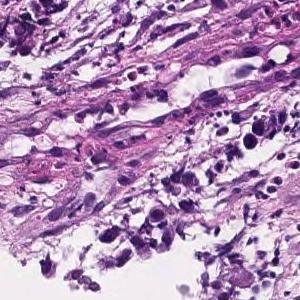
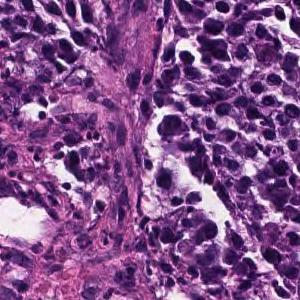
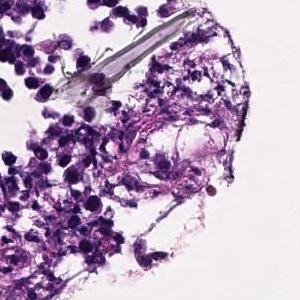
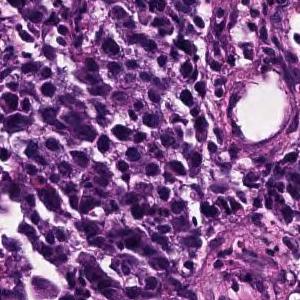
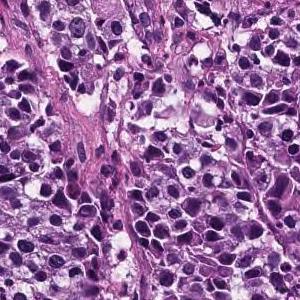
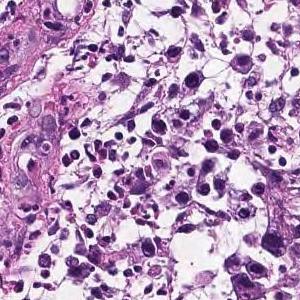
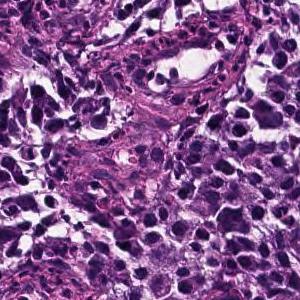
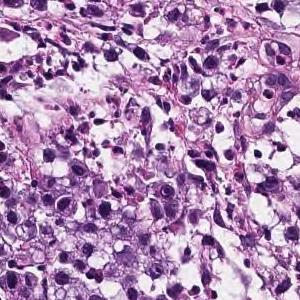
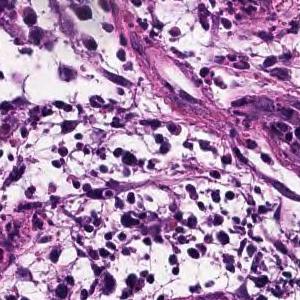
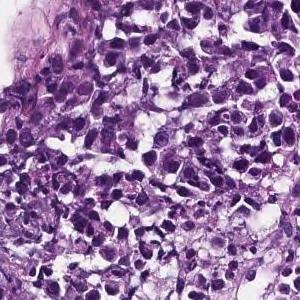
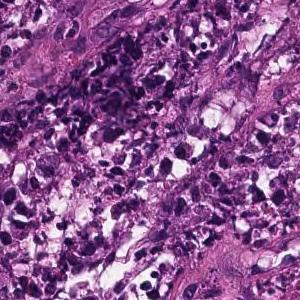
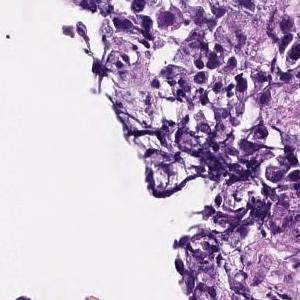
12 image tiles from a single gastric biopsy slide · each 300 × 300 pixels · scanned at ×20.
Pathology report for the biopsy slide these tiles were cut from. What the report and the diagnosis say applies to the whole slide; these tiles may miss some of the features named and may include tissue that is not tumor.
The superficial epithelium shows a small alveolar shape, and some tumor tissues infiltrate with a cord-like structure. Poorly differentiated adenocarcinoma, solid-type
Classified as poorly differentiated adenocarcinoma, solid type, a category of the Japanese Classification of Gastric Carcinoma; in the WHO 2019 classification it is tubular adenocarcinoma, poorly differentiated.
